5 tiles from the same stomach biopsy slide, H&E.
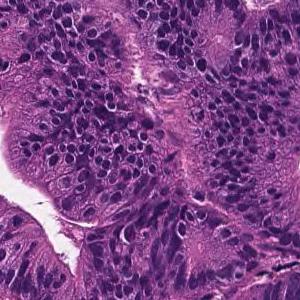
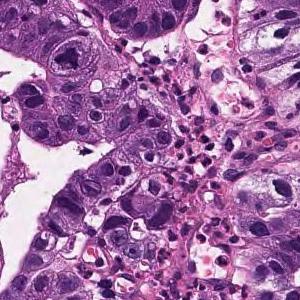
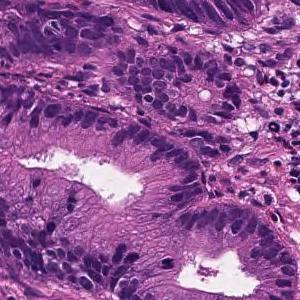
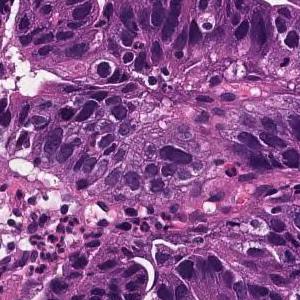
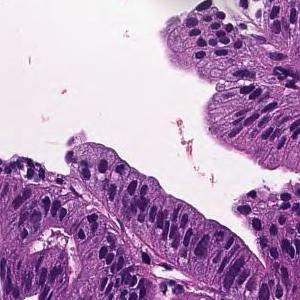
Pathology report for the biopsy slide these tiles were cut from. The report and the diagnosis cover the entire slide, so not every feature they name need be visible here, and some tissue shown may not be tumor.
Tumor cells are large, highly columnar, large club-shaped nuclei, and are associated with chromatin aggregation. Papillary adenocarcinoma.
